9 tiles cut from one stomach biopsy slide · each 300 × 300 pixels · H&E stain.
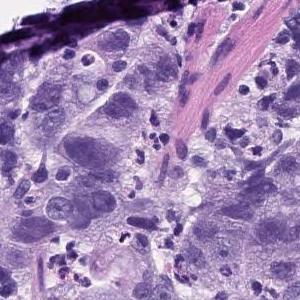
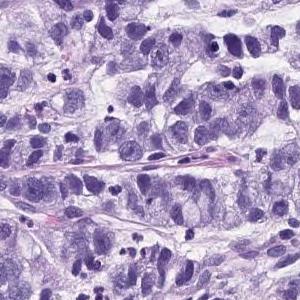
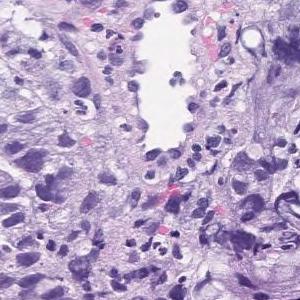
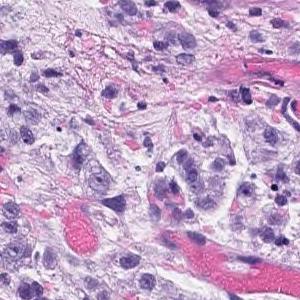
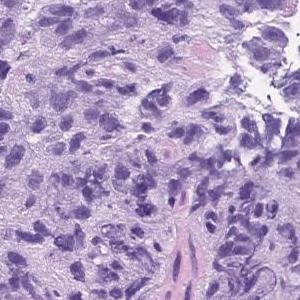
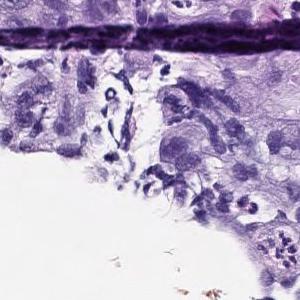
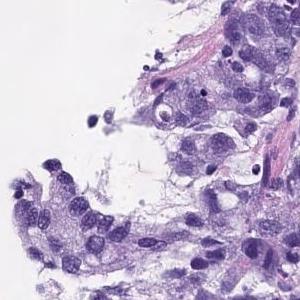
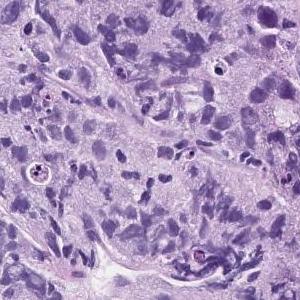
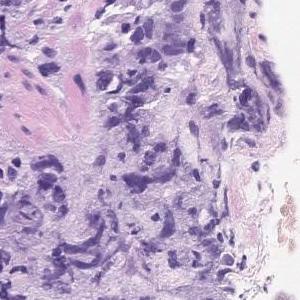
Report on the slide these tiles come from. The report and the diagnosis cover the entire slide, so not every feature they name need be visible here, and some tissue shown may not be tumor.
Atypical l cells with atypical nuclei forming solid vesicles or small irregular atypical ducts that proliferate in a complex manner. poorly differentiated adenocarcinoma, solid type, moderately differentiated tubular adenocarcinoma
The term "solid type" comes from the Japanese Classification of Gastric Carcinoma; the WHO 2019 equivalent is tubular adenocarcinoma, poorly differentiated.
